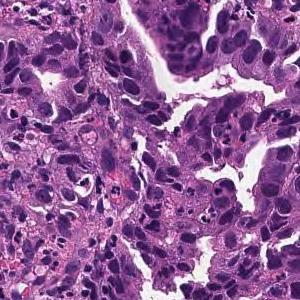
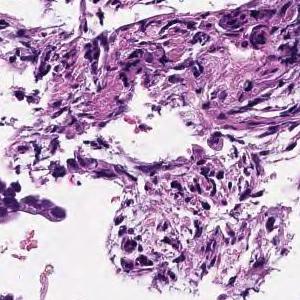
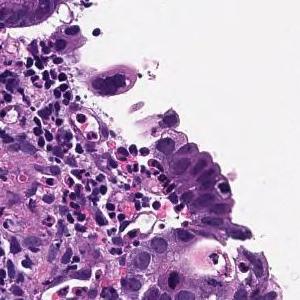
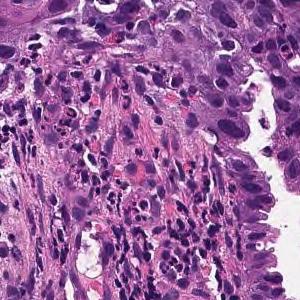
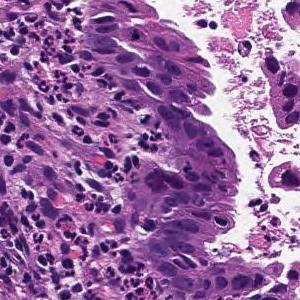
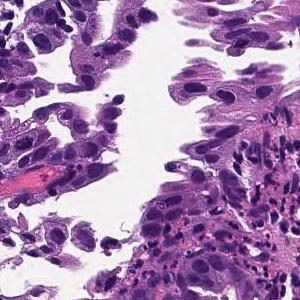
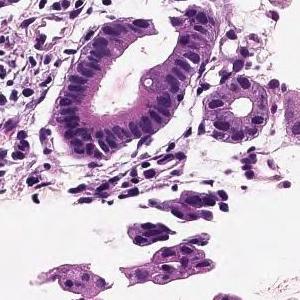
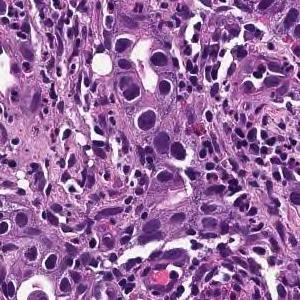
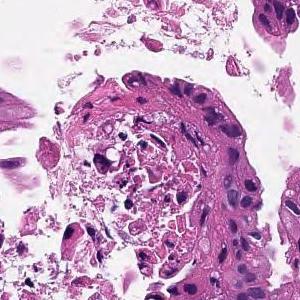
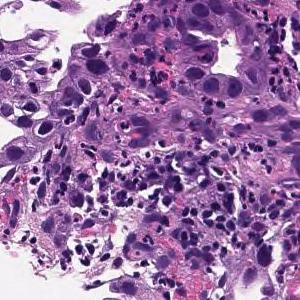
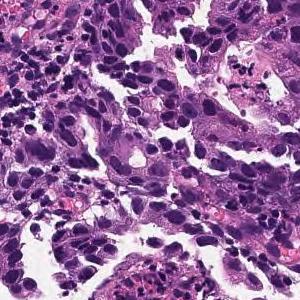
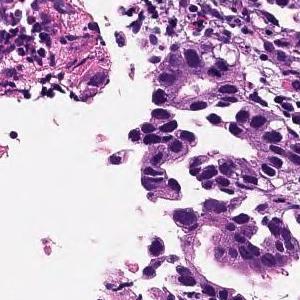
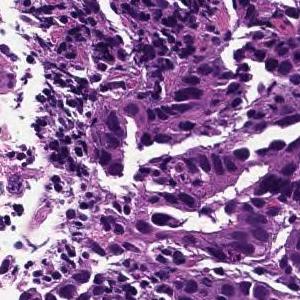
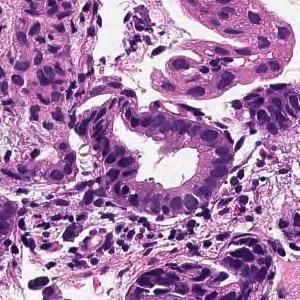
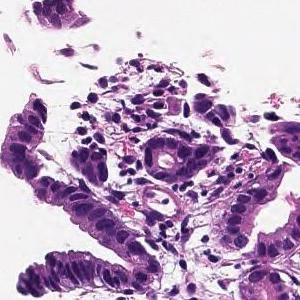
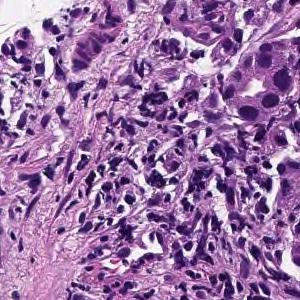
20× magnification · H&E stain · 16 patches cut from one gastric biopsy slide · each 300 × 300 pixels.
The pathologist's report on the biopsy slide these tiles were taken from. The report and the diagnosis cover the entire slide, so not every feature they name need be visible here, and some tissue shown may not be tumor.
In the superficial epithelium, tumor tissue that invades by forming medium-sized to small, irregular ducts is observed. moderately differentiated tubular adenocarcinoma.
